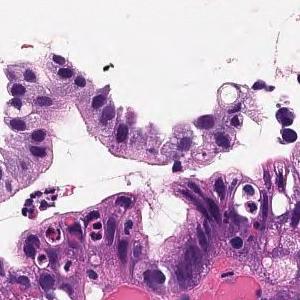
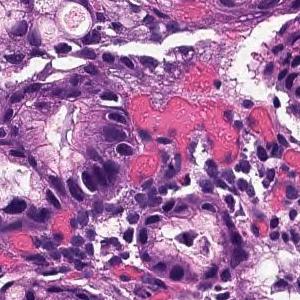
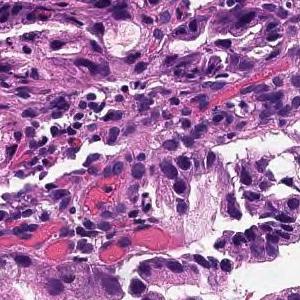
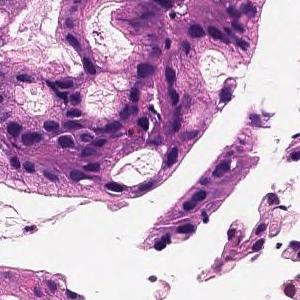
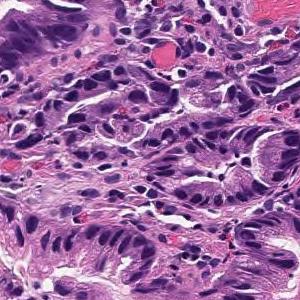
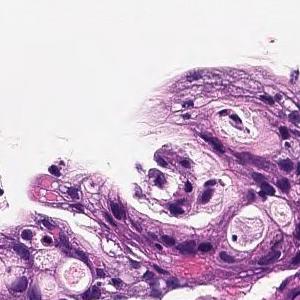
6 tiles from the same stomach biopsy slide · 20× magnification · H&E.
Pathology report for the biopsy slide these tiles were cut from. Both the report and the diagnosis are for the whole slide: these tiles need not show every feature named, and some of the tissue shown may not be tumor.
In the superficial epithelium, tumor tissue that invades by forming medium-sized to small, irregular ducts is observed. moderately differentiated tubular adenocarcinoma.
